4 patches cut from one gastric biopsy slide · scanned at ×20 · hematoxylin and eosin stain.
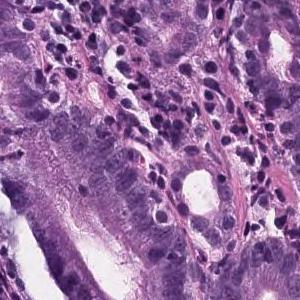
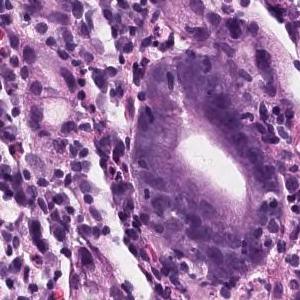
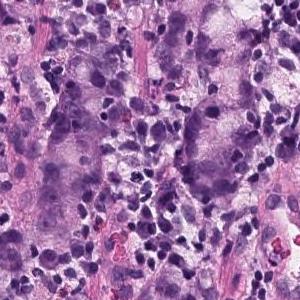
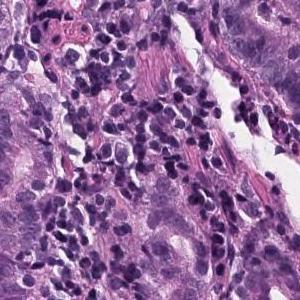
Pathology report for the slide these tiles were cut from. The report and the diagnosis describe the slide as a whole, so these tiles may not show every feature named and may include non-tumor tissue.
In the superficial epithelium, tumor tissue that invades by forming medium-sized to small, irregular ducts is observed. Moderately differentiated adenocarcinoma.
Classified as moderately differentiated tubular adenocarcinoma.
